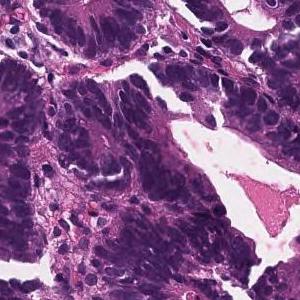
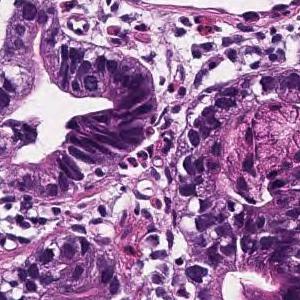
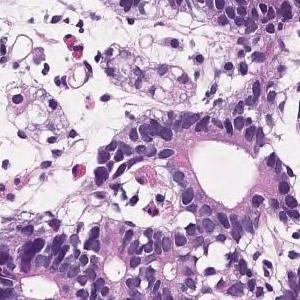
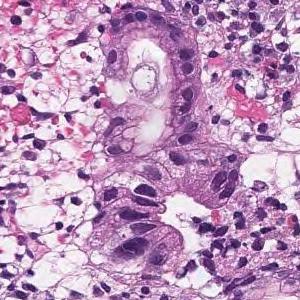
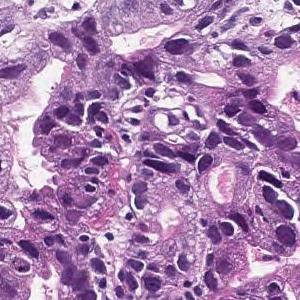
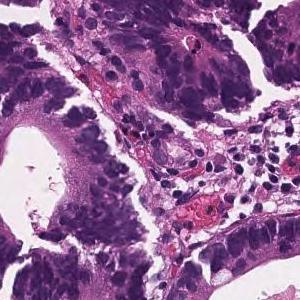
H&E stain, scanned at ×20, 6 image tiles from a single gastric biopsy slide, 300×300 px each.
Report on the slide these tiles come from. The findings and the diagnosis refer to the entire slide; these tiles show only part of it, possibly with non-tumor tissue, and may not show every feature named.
On the superficial epithelium, tumor tissue consisting of large, irregular glandular ducts partially fused and infiltrated is observed. Well to moderately differentiated tubular adenocarcinoma (well differentiated tubular adenocarcinoma, moderately differentiated tubular adenocarcinoma)
Tumor subtype: well to moderately differentiated tubular adenocarcinoma.
